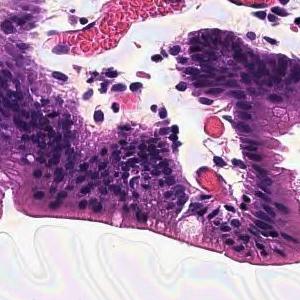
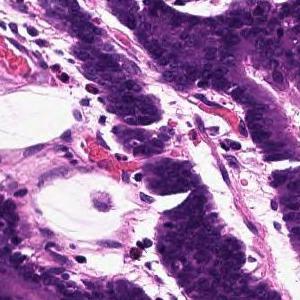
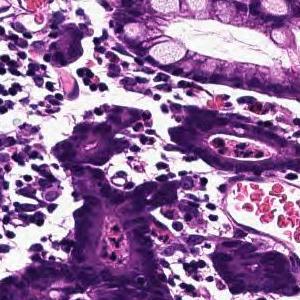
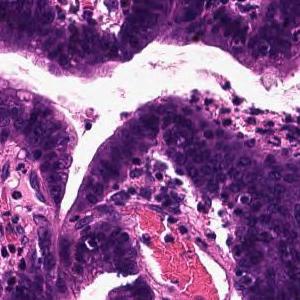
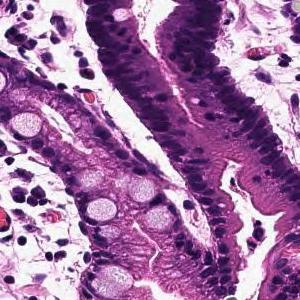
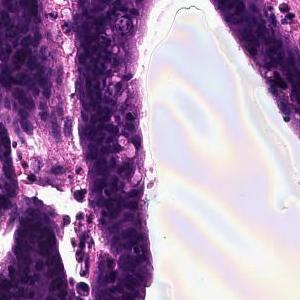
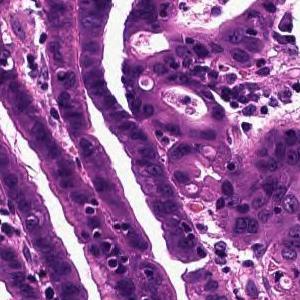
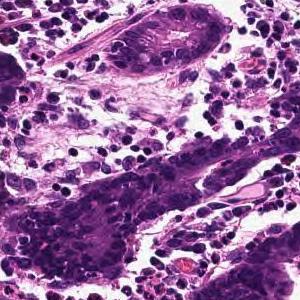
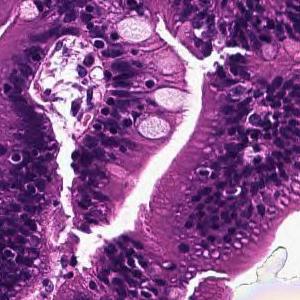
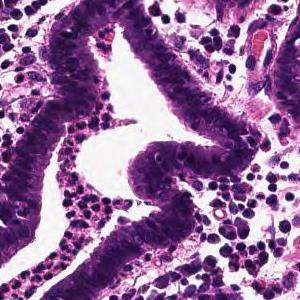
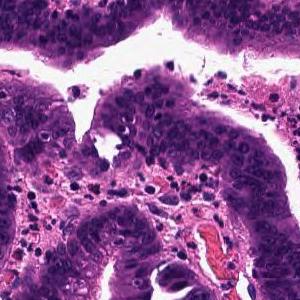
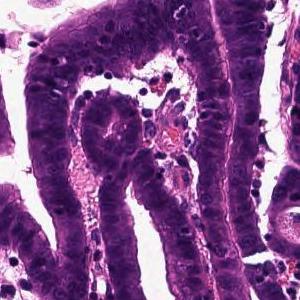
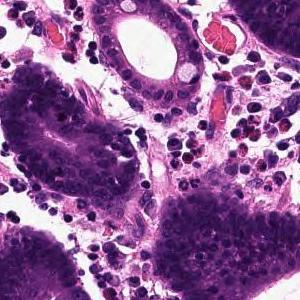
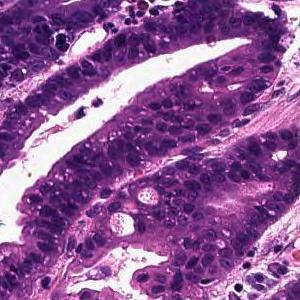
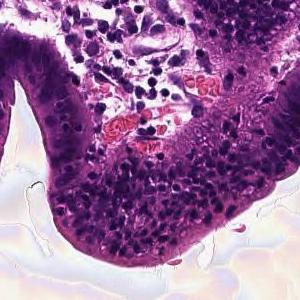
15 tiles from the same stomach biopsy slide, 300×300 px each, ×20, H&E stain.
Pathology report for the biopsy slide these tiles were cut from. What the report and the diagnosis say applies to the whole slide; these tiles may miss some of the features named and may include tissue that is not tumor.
Tumor tissue that infiltrates by forming large papillary or large irregular glandular ducts is observed confined to the mucosa. Papillary adenocarcinoma
